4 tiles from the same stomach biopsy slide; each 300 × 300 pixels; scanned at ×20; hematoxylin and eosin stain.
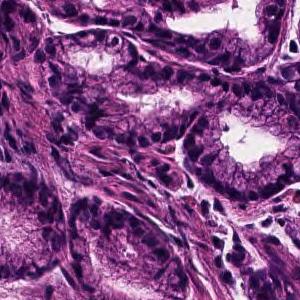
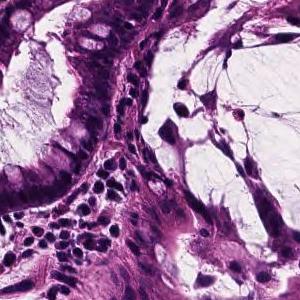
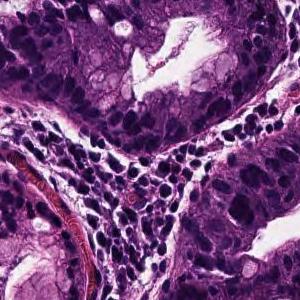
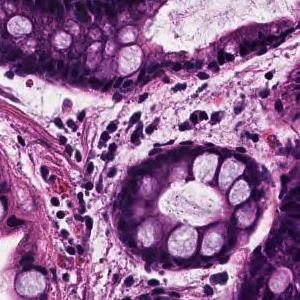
Pathology report for the slide these tiles were cut from. The report and the diagnosis cover the entire slide, so not every feature they name need be visible here, and some tissue shown may not be tumor.
In the superficial epithelium, tumor tissue infiltrated by partial fusion of medium-sized to small, irregular glandular ducts is observed. moderately differentiated tubular adenocarcinoma
